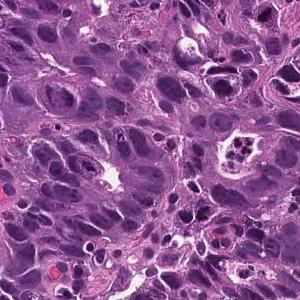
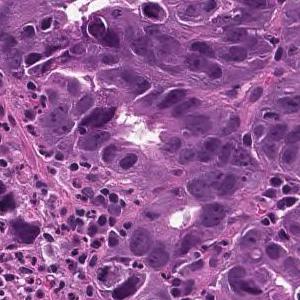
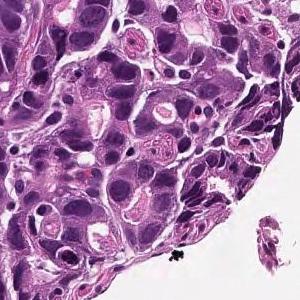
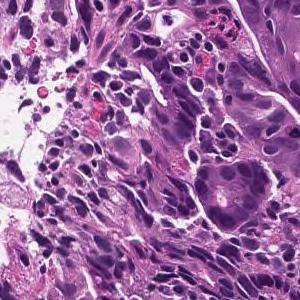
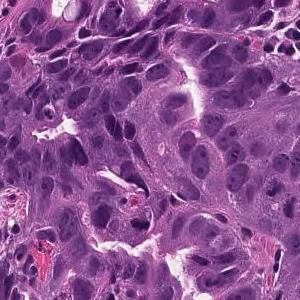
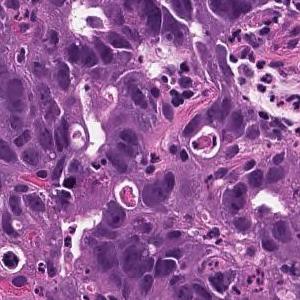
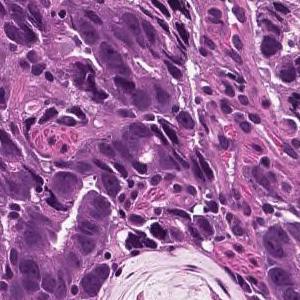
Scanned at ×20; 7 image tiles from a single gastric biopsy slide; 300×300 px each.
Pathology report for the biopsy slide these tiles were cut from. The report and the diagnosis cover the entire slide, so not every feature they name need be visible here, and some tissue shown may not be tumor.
On the superficial epithelium, tumor tissue is found in which medium-sized irregular gland ducts fuse with each other and infiltrate. moderately differentiated tubular adenocarcinoma
